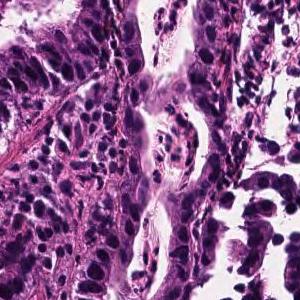
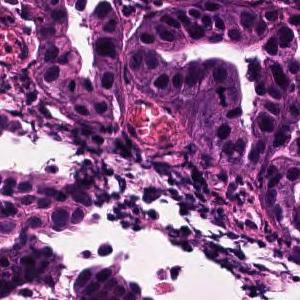
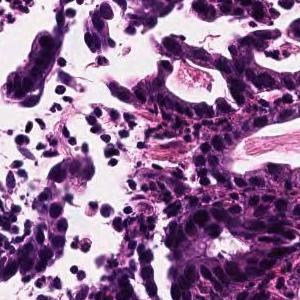
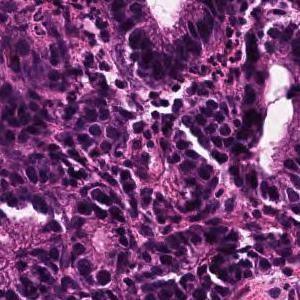
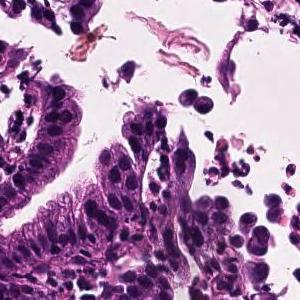
×20; hematoxylin and eosin stain; 5 patches cut from one gastric biopsy slide.
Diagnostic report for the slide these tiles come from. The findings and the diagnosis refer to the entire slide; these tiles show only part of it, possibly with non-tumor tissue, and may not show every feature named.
Tumor tissue consisting of large papillary structures is found in the superficial epithelium. Papillary adenocarcinoma.
